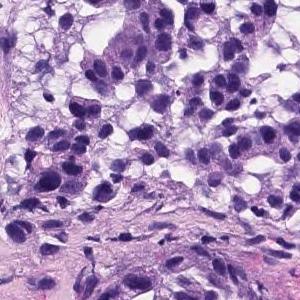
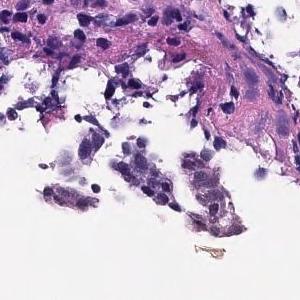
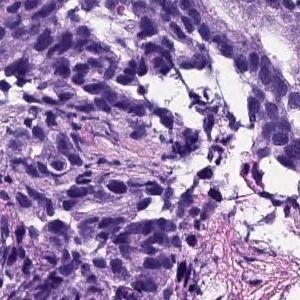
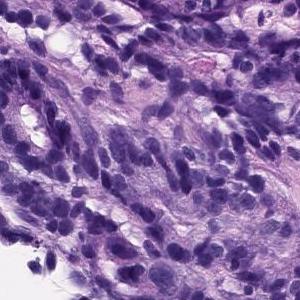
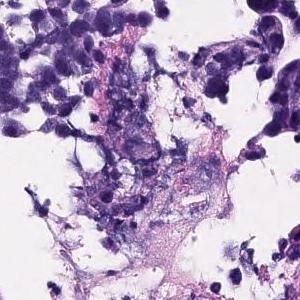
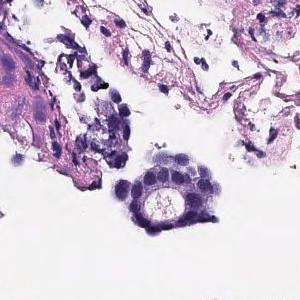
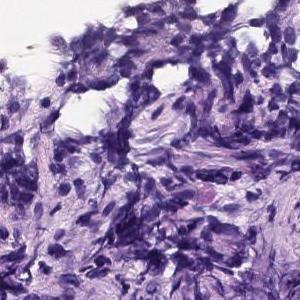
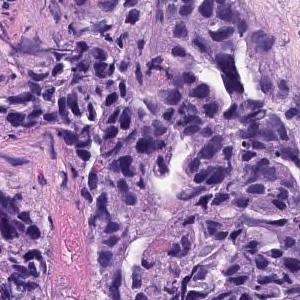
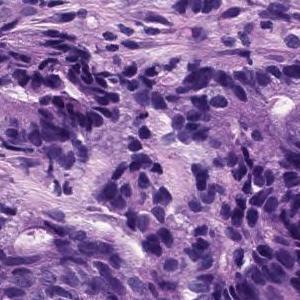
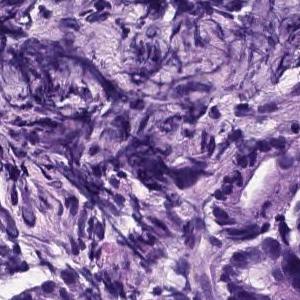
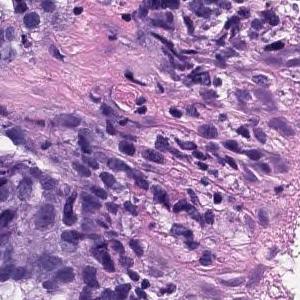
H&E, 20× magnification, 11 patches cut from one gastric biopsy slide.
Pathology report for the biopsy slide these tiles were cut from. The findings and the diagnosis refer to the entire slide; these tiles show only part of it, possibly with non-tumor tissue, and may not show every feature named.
In the superficial epithelium, tumor tissue that invades by forming medium-sized to small, irregular ducts is observed. Tumor cells are columnar or cuboidal in shape. Moderately differentiated adenocarcinoma.
Tumor subtype: moderately differentiated tubular adenocarcinoma.
